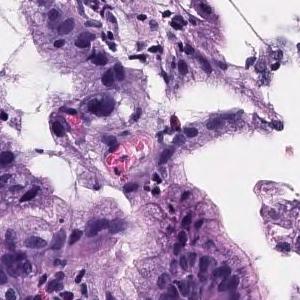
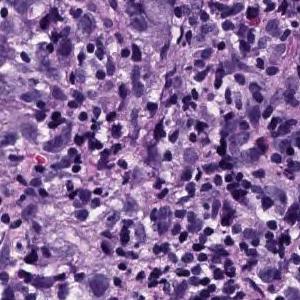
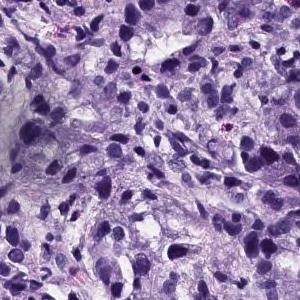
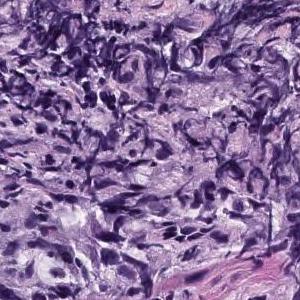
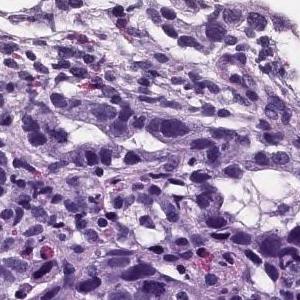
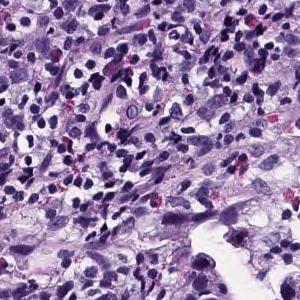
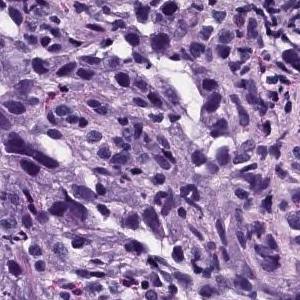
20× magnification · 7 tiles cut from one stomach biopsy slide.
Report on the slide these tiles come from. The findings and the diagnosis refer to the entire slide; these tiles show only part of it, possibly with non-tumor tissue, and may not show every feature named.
Atypical epithelial cells infiltrating and proliferating while forming solid or cord-like fused glandular cavities of different sizes is observed. moderately differentiated tubular adenocarcinoma, poorly differentiated adenocarcinoma.
Classified as moderately to poorly differentiated adenocarcinoma.
